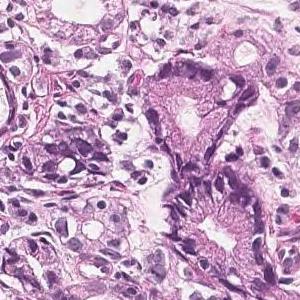
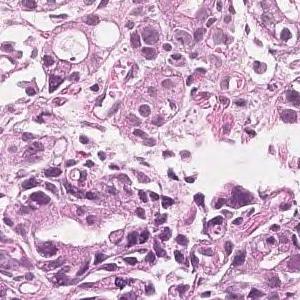
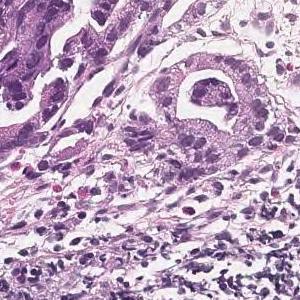
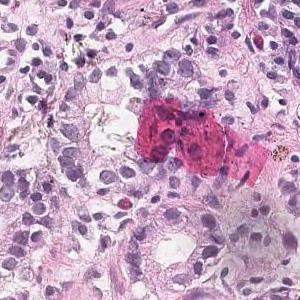
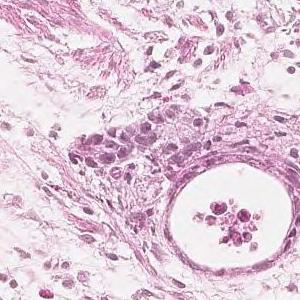
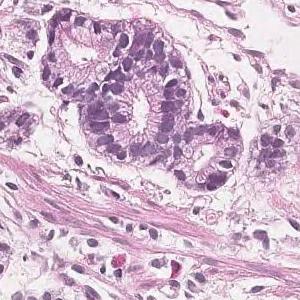
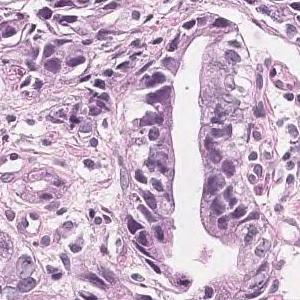
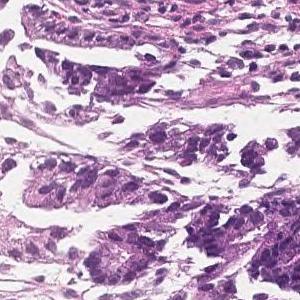
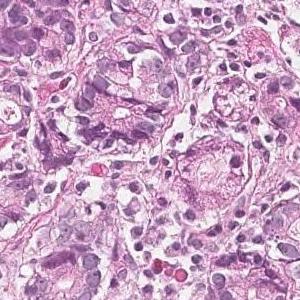
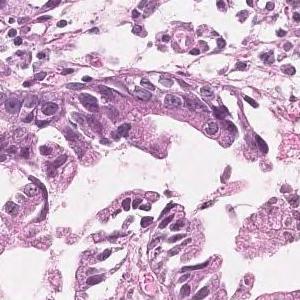
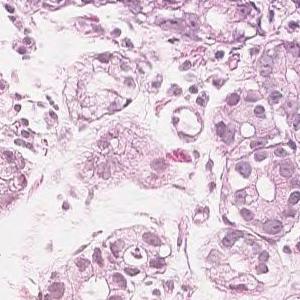
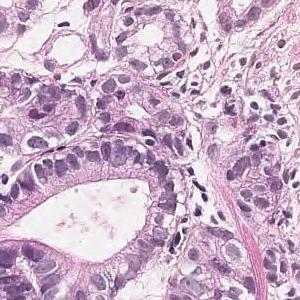
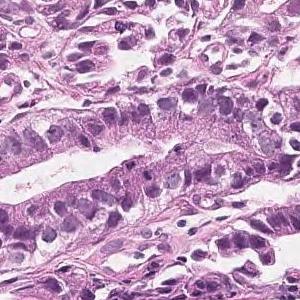
H&E stain · 20× magnification · 13 patches cut from one gastric biopsy slide.
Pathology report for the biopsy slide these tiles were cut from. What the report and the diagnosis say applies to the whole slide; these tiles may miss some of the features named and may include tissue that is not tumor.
In the superficial epithelium, tumor tissue that invades by forming medium-sized to small, irregular ducts is observed. moderately differentiated tubular adenocarcinoma.
